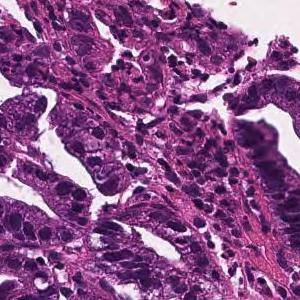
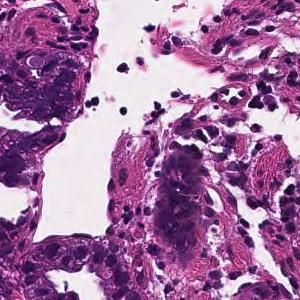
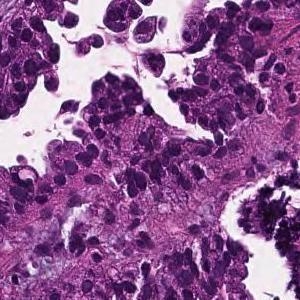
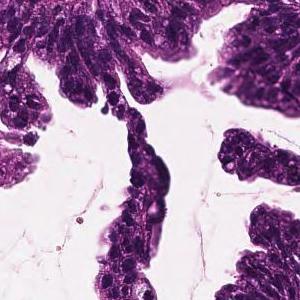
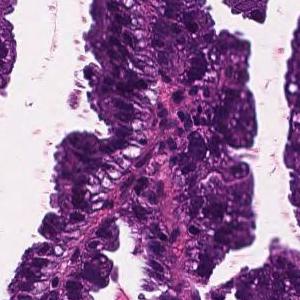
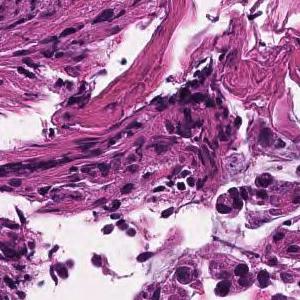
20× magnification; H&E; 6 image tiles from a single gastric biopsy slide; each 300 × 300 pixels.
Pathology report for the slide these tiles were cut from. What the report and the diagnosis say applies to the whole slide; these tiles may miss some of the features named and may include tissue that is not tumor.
Tumor cells are large, highly columnar, large club-shaped nuclei, and are associated with chromatin aggregation. Papillary adenocarcinoma.
